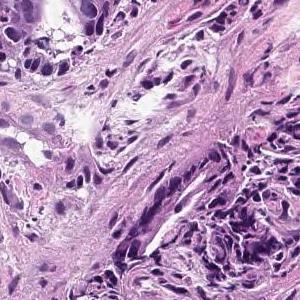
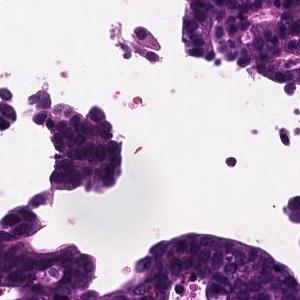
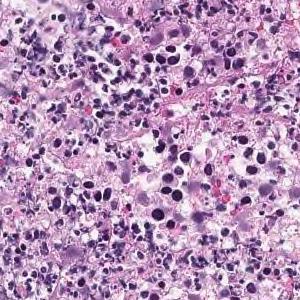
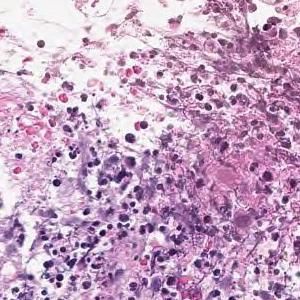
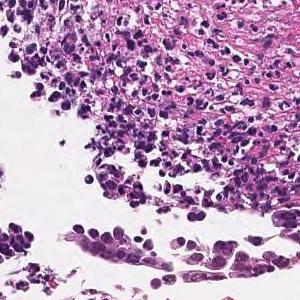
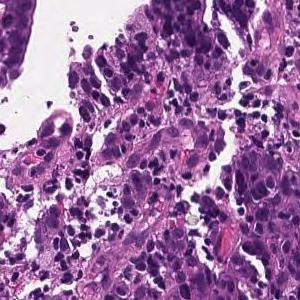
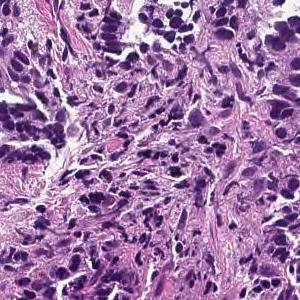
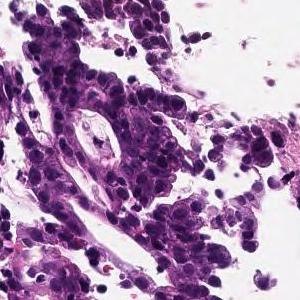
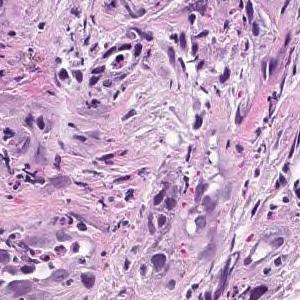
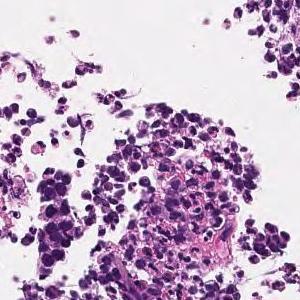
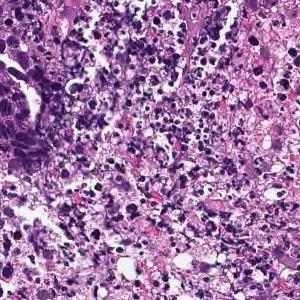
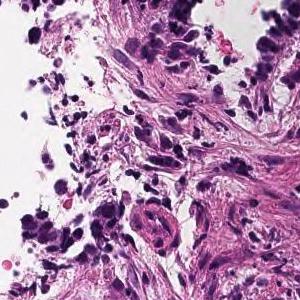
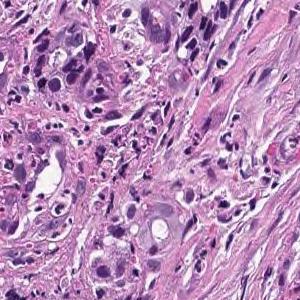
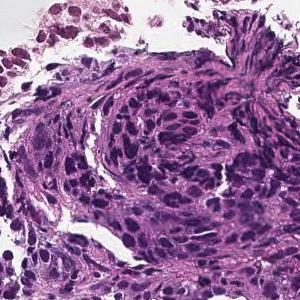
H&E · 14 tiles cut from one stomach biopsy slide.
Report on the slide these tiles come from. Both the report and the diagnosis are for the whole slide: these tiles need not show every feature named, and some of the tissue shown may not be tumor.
In the superficial epithelium, tumor tissue that invades by forming medium-sized to small, irregular ducts is observed. moderately differentiated tubular adenocarcinoma.
